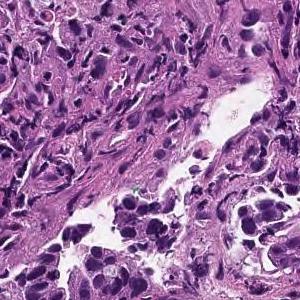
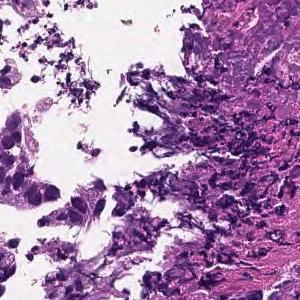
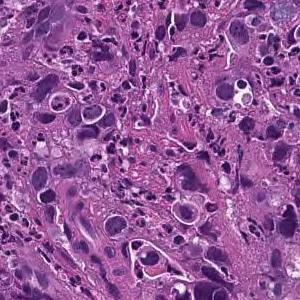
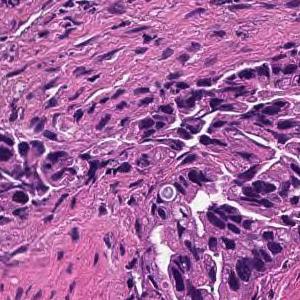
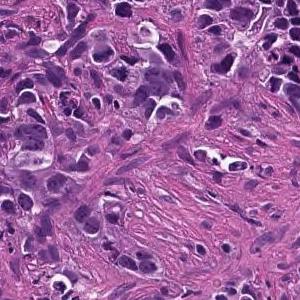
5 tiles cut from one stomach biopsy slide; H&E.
Pathology report for the slide these tiles were cut from. The report and the diagnosis cover the entire slide, so not every feature they name need be visible here, and some tissue shown may not be tumor.
Tumor tissue consisting of medium-sized, cord-like or irregular glandular infiltration is observed in the superficial epithelium. Poorly differentiated adenocarcinoma, non-solid type or moderately differentiated tubular adenocarcinoma
Histological subtype: Moderately to poorly differentiated adenocarcinoma.
"Non-solid type" is a category of the Japanese Classification of Gastric Carcinoma.
